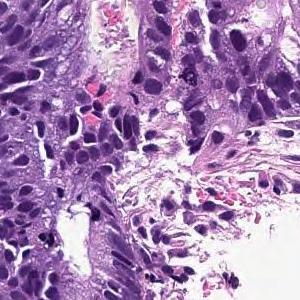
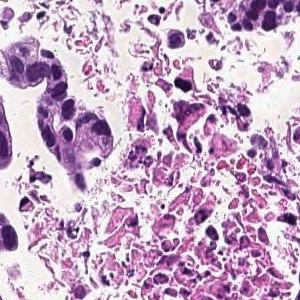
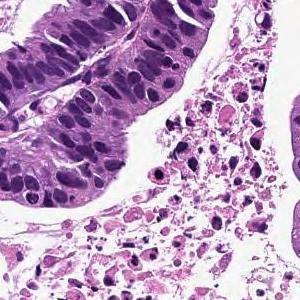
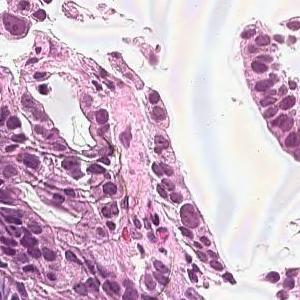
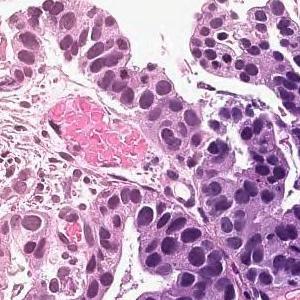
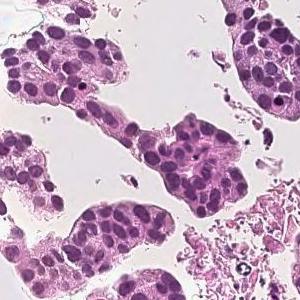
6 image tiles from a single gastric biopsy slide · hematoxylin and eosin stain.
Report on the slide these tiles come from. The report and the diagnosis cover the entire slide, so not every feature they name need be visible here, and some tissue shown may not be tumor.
Tumor cells are large, highly columnar, large club-shaped nuclei, and are associated with chromatin aggregation. Papillary adenocarcinoma.
